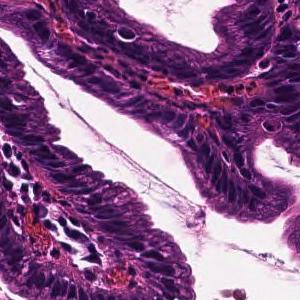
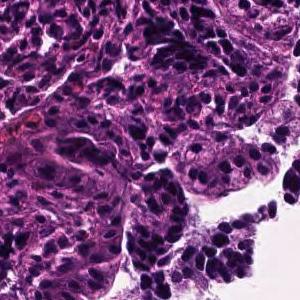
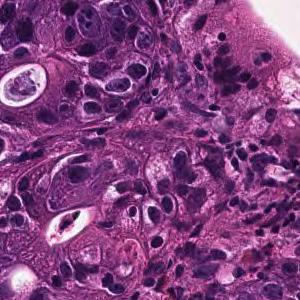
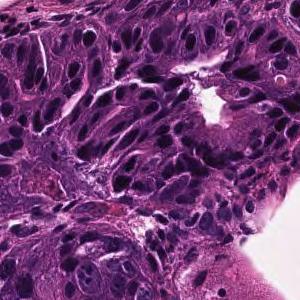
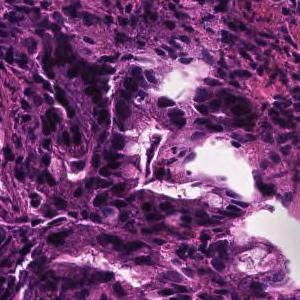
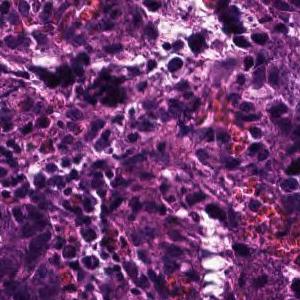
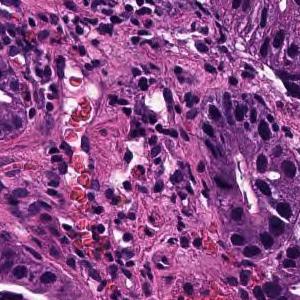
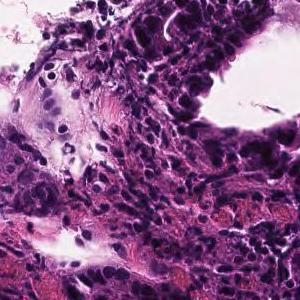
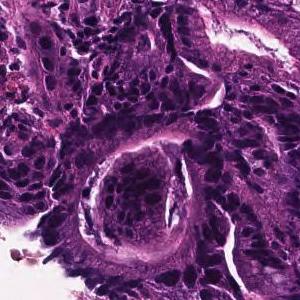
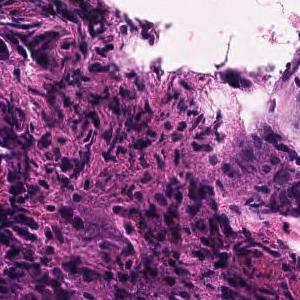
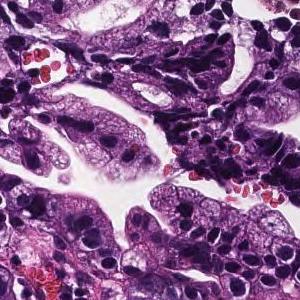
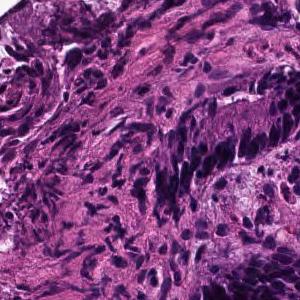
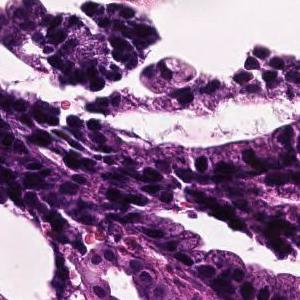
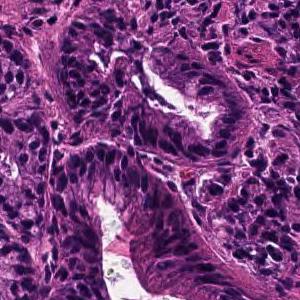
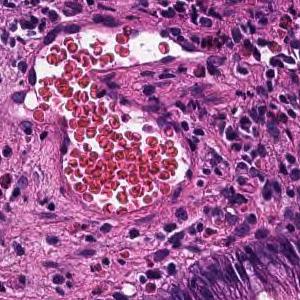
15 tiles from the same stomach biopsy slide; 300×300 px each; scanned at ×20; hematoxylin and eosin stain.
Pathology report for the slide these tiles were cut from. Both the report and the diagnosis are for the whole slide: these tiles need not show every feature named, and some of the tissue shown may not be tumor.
In the superficial epithelium, tumor tissue that invades by forming medium-sized to small, irregular ducts is observed. moderately differentiated tubular adenocarcinoma.
